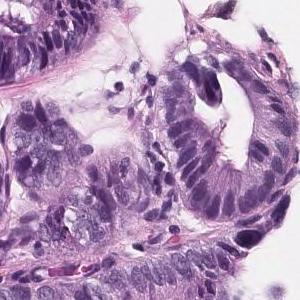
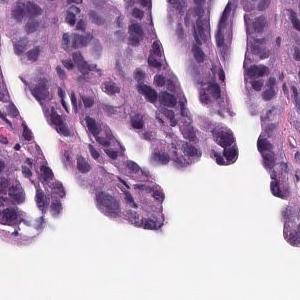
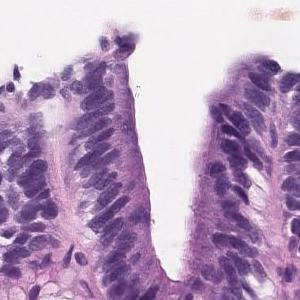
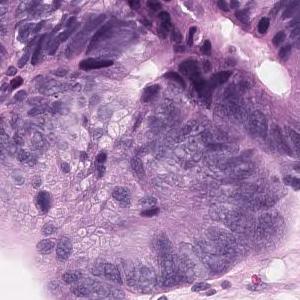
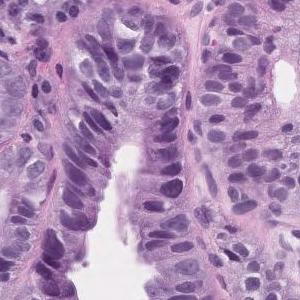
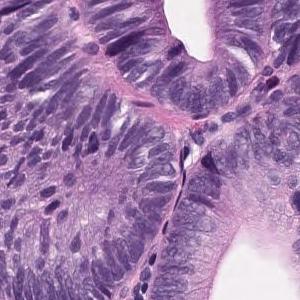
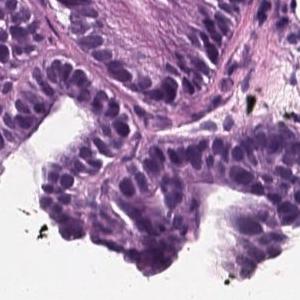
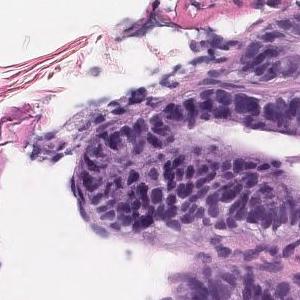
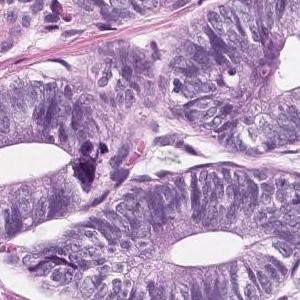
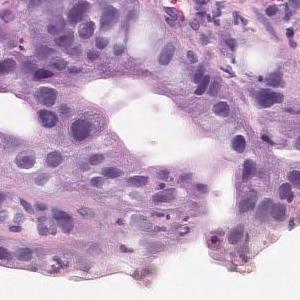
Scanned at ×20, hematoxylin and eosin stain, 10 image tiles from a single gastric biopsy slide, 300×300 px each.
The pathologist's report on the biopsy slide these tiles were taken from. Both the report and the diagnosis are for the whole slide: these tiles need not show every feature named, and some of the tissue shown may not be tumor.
Tumor tissue consisting of medium-sized and irregular ducts is observed infiltrating in the superficial epithelium. Tumor cells are highly columnar, with nuclei aligned basolaterally and polarized. Well differentiated tubular adenocarcinoma.
